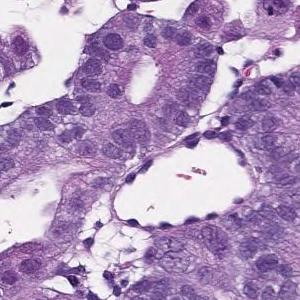
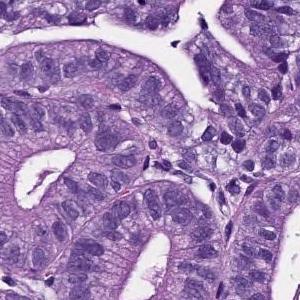
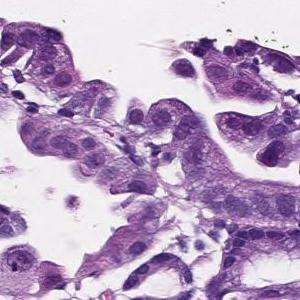
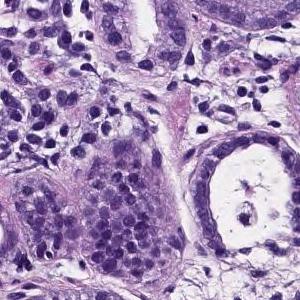
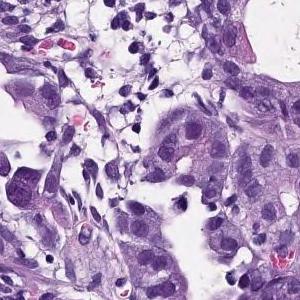
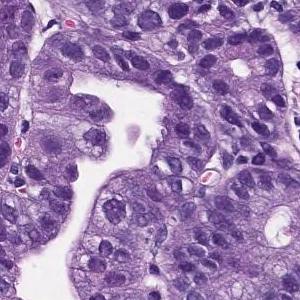
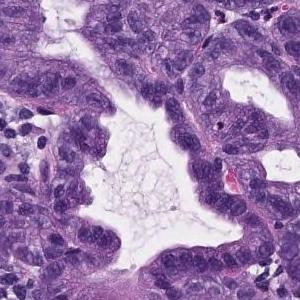
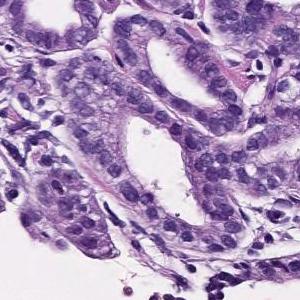
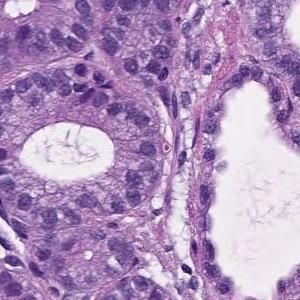
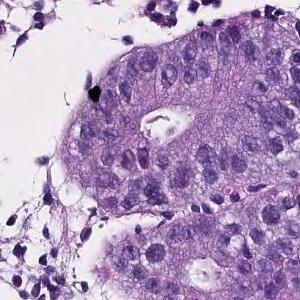
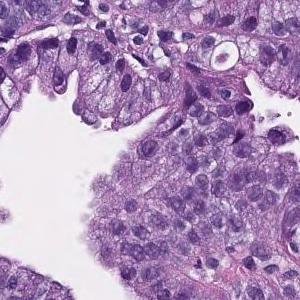
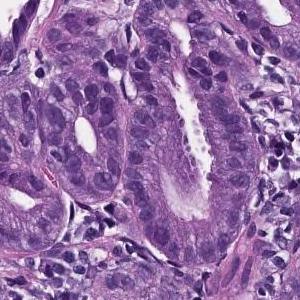
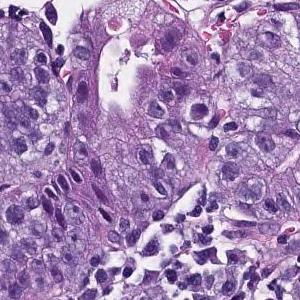
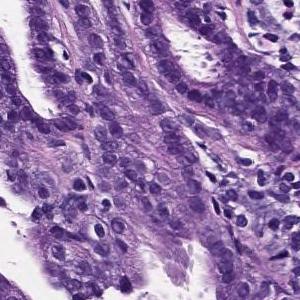
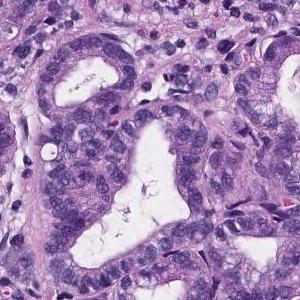
15 image tiles from a single gastric biopsy slide, each 300 × 300 pixels, ×20.
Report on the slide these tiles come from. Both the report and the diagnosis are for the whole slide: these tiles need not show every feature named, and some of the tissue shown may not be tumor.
On the superficial epithelium, tumor tissue that infiltrates by forming medium-sized papillary or small irregular ducts is observed. Papillary adenocarcinoma
